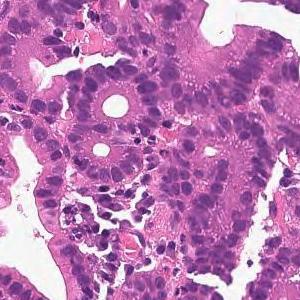
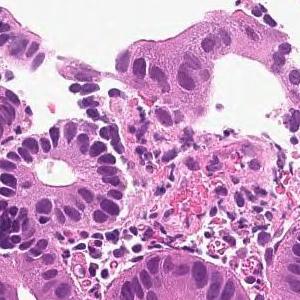
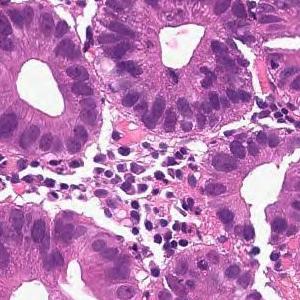
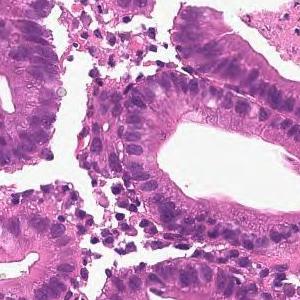
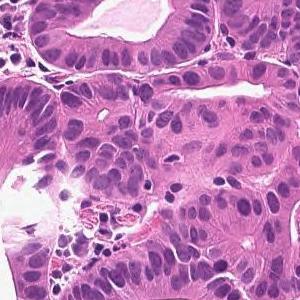
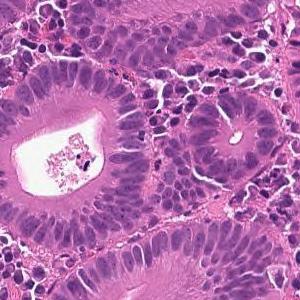
6 patches cut from one gastric biopsy slide · 300 × 300 pixels each · H&E stain.
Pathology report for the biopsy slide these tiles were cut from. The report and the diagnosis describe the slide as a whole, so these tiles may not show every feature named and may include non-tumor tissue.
From the superficial epithelium to the muscularis mucosae, tumor tissue consisting of medium-sized and irregular glandular ducts infiltrating is observed. Well differentiated tubular adenocarcinoma
